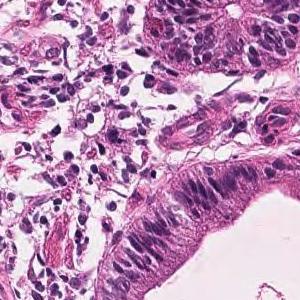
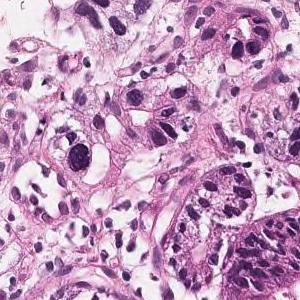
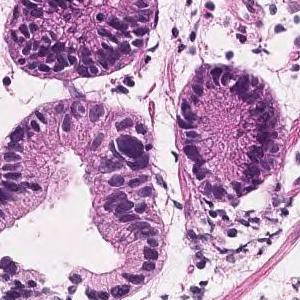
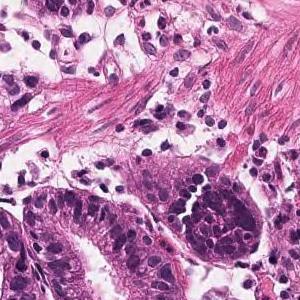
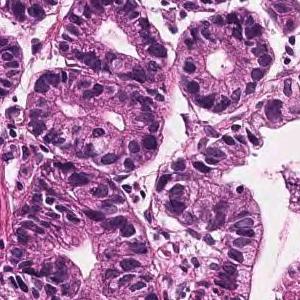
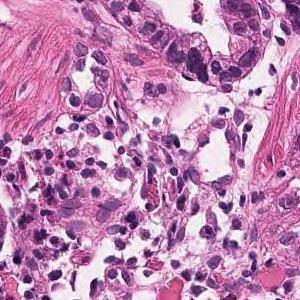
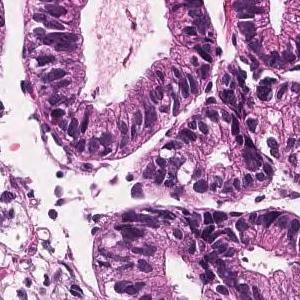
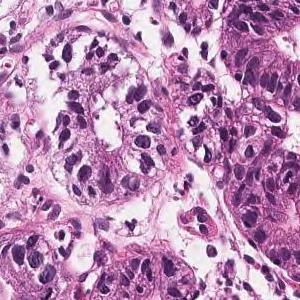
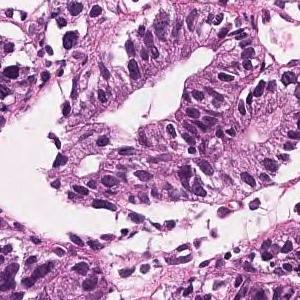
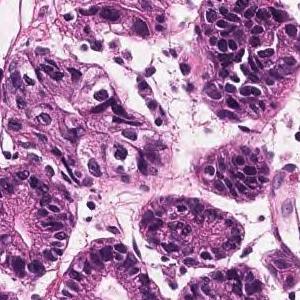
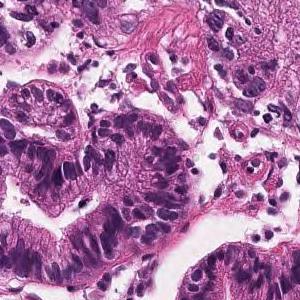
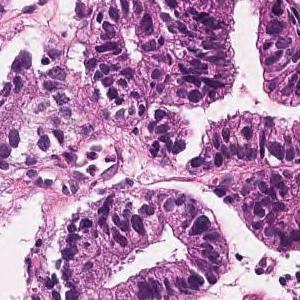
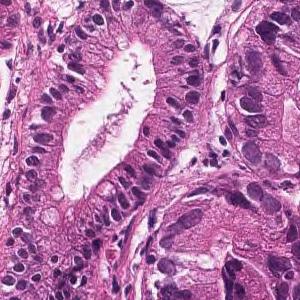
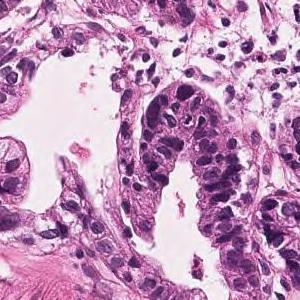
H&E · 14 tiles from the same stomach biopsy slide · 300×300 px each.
Report on the slide these tiles come from. What the report and the diagnosis say applies to the whole slide; these tiles may miss some of the features named and may include tissue that is not tumor.
On the superficial epithelium, tumor tissue that infiltrates by forming medium-sized papillary or small irregular ducts is observed. Papillary adenocarcinoma
